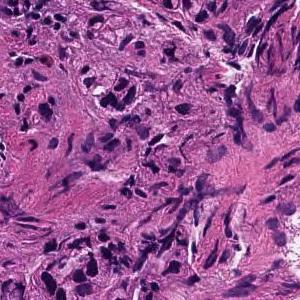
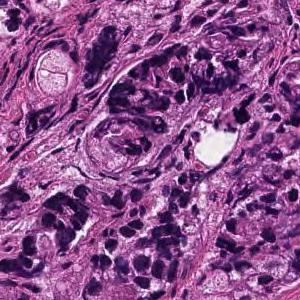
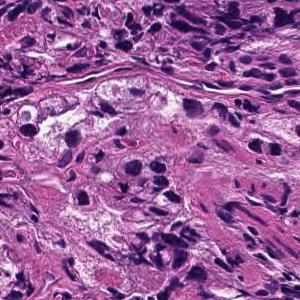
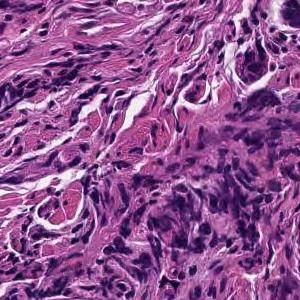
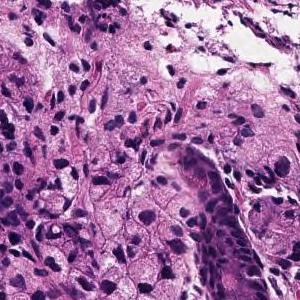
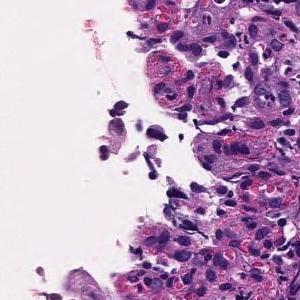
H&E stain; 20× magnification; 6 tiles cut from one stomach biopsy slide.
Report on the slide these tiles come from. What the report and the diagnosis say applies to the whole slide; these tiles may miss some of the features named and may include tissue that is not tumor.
In the superficial epithelium, tumor tissue that invades by forming medium-sized to small, irregular ducts is observed. moderately differentiated tubular adenocarcinoma.
